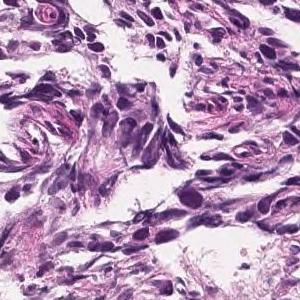
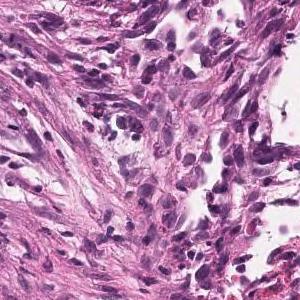
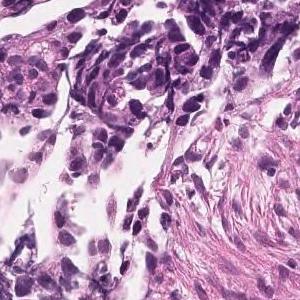
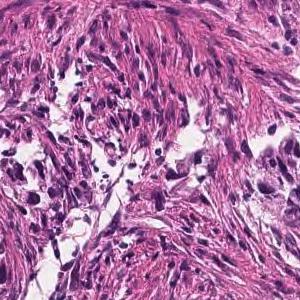
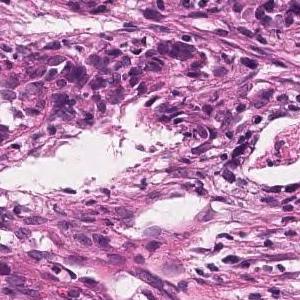
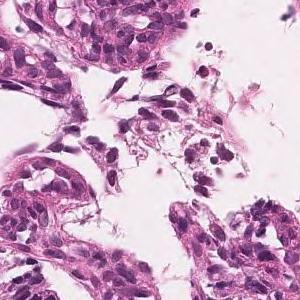
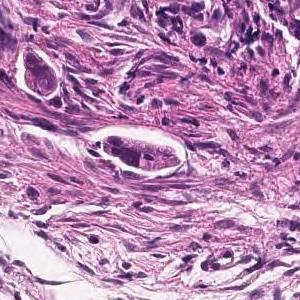
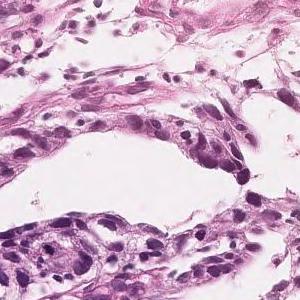
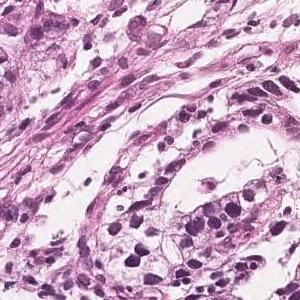
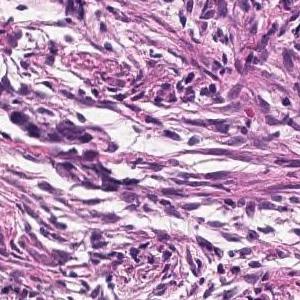
H&E, scanned at ×20, 10 patches cut from one gastric biopsy slide, 300×300 px each.
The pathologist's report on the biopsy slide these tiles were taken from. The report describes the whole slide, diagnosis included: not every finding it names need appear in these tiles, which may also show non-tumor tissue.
Tumor tissue that is localized within the mucosa and grows in microcavities or small glandular cavities or individually isolated is observed. Poorly differentiated adenocarcinoma, non-solid type
"Non-solid type" is a category of the Japanese Classification of Gastric Carcinoma.
